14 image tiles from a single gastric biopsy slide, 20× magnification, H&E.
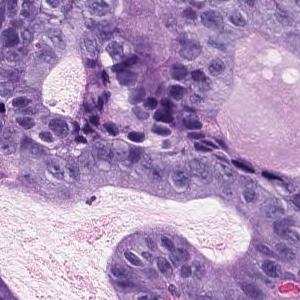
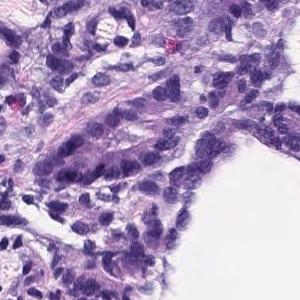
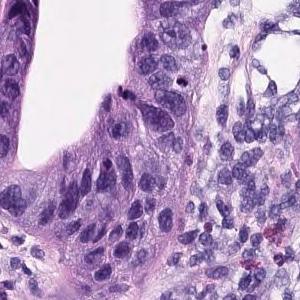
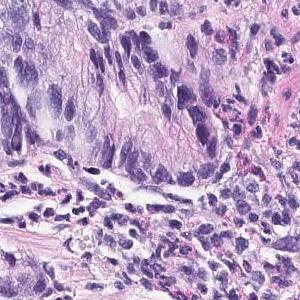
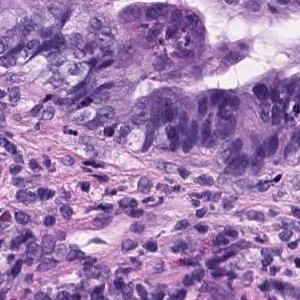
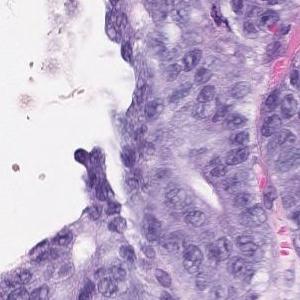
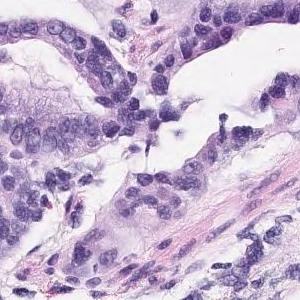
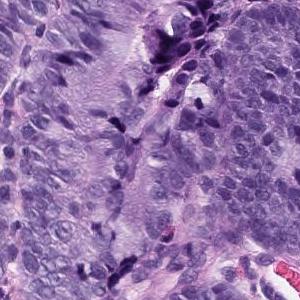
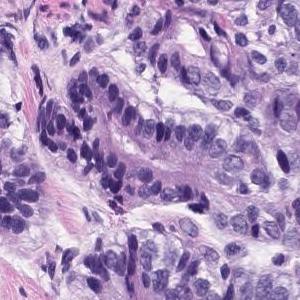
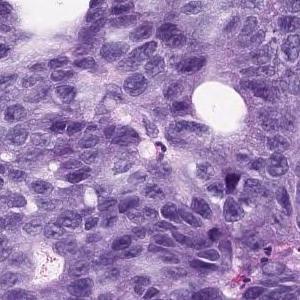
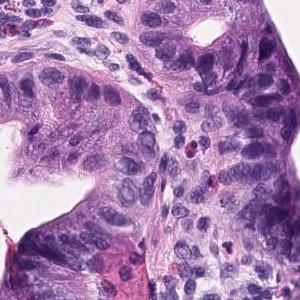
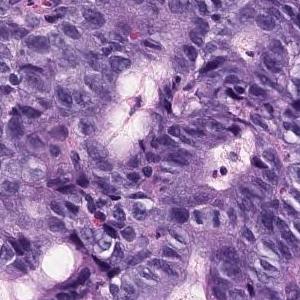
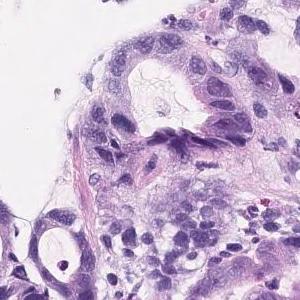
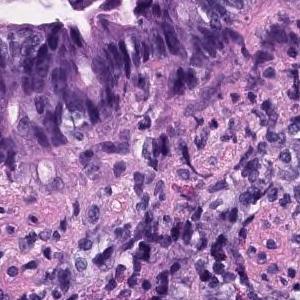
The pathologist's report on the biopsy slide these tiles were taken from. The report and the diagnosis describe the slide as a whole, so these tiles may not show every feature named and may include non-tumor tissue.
In the superficial epithelium, tumor tissue that invades by forming medium-sized to small, irregular ducts is observed. Well to moderately differentiated tubular adenocarcinoma.
